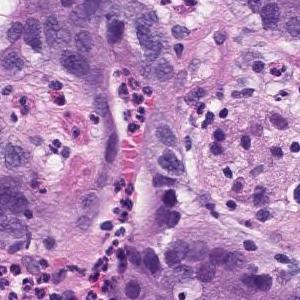
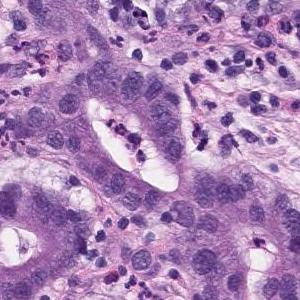
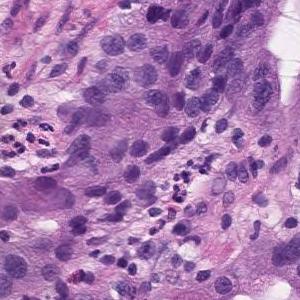
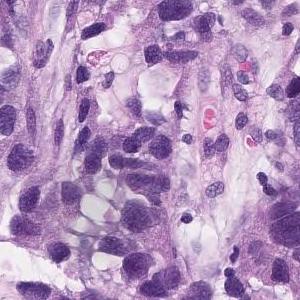
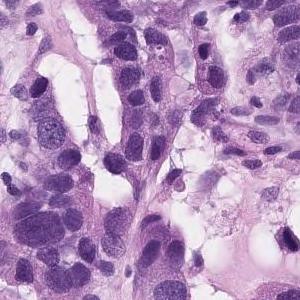
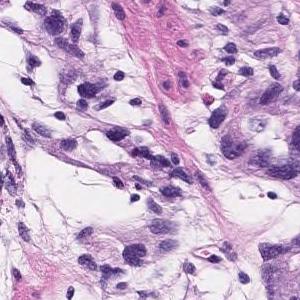
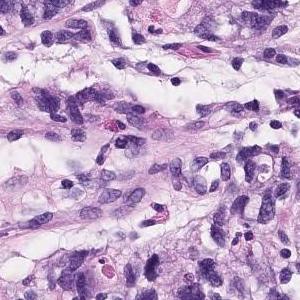
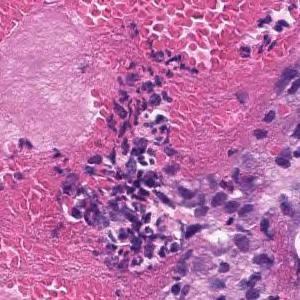
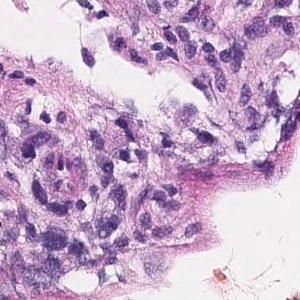
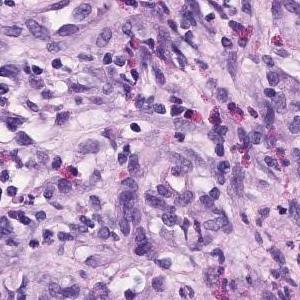
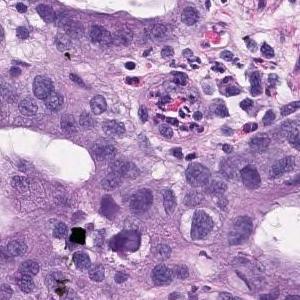
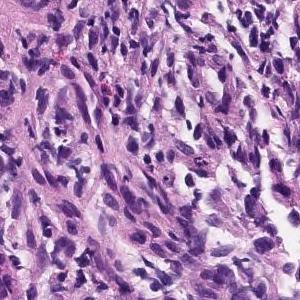
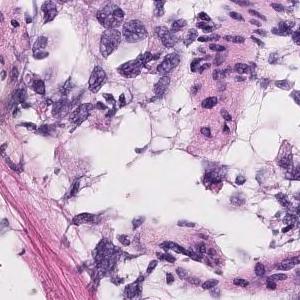
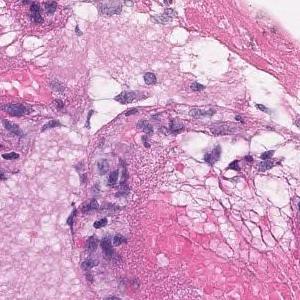
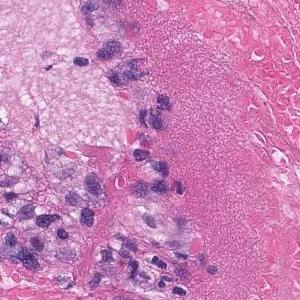
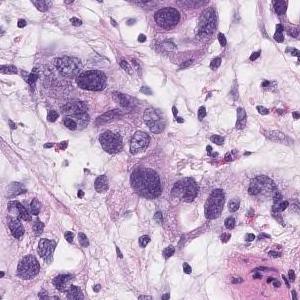
16 tiles from the same stomach biopsy slide · H&E stain · 20× magnification.
Diagnostic report for the slide these tiles come from. The report and the diagnosis describe the slide as a whole, so these tiles may not show every feature named and may include non-tumor tissue.
Group 5, Adenocarcinoma. Moderately to poorly differentiated adenocarcinoma
